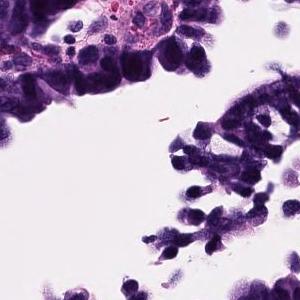
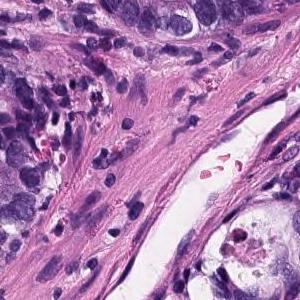
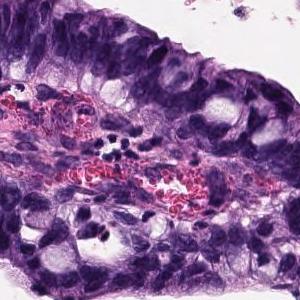
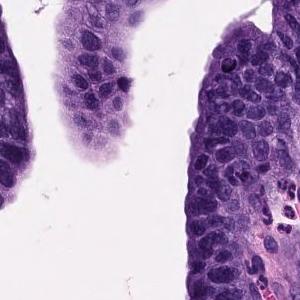
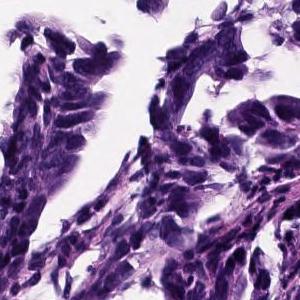
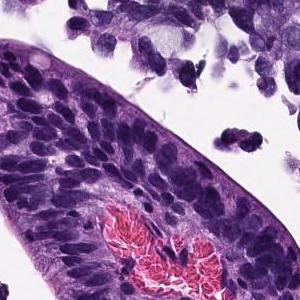
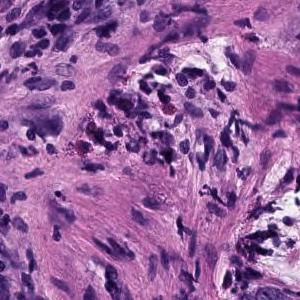
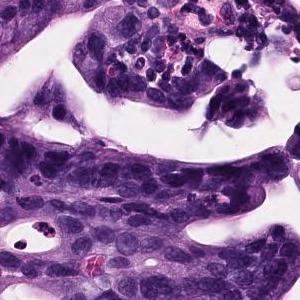
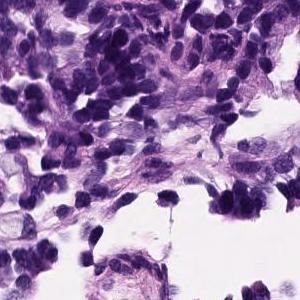
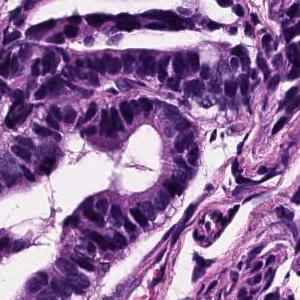
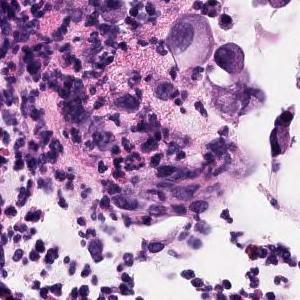
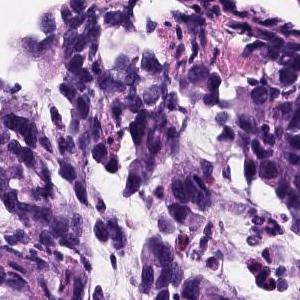
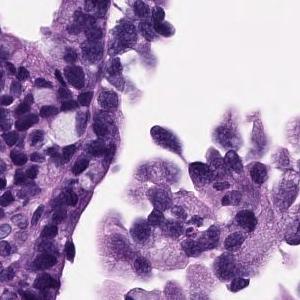
13 patches cut from one gastric biopsy slide · ×20.
Pathology report for the biopsy slide these tiles were cut from. The report describes the whole slide, diagnosis included: not every finding it names need appear in these tiles, which may also show non-tumor tissue.
Atypical epithelium proliferating showing villus construction and irregular gland duct construction is observed. Moderately differentiated tubular adenocarcinoma.
